H&E stain; scanned at ×20; 13 tiles cut from one stomach biopsy slide.
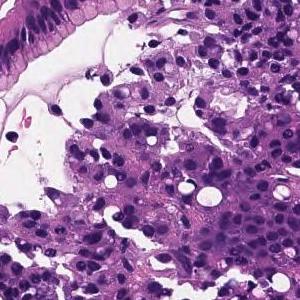
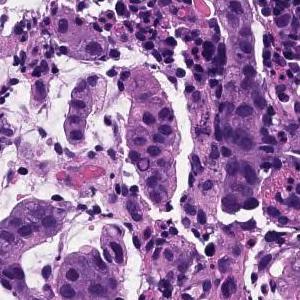
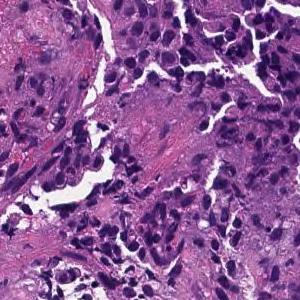
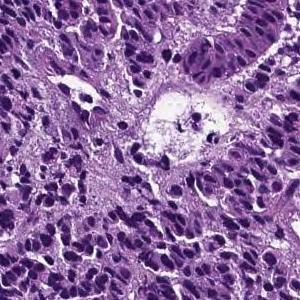
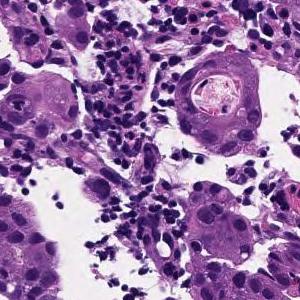
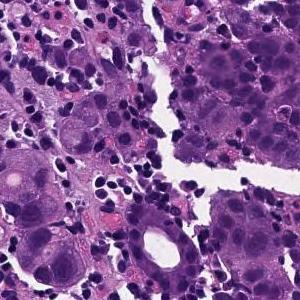
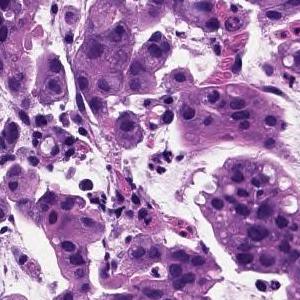
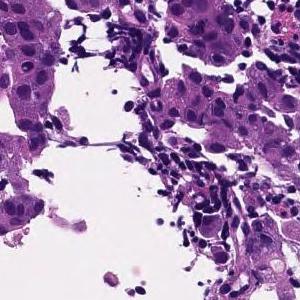
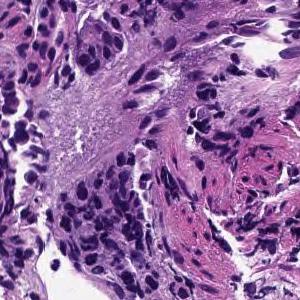
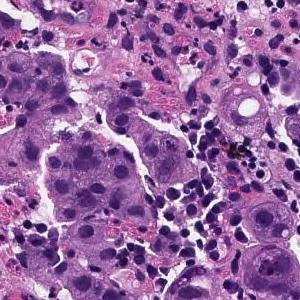
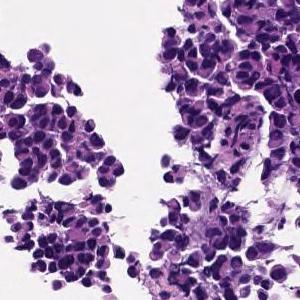
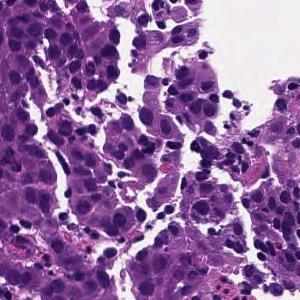
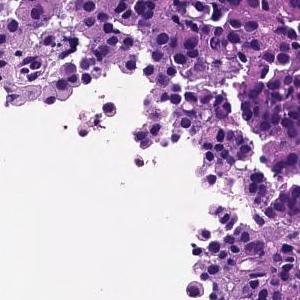
The pathologist's report on the biopsy slide these tiles were taken from. What the report and the diagnosis say applies to the whole slide; these tiles may miss some of the features named and may include tissue that is not tumor.
The superficial epithelium shows a large sheet-like shape, and some tumor tissue infiltrates with small irregular ducts. Poorly differentiated adenocarcinoma, solid-type
Histologic type: Poorly differentiated adenocarcinoma, solid type, a category of the Japanese Classification of Gastric Carcinoma; in the WHO 2019 classification it is tubular adenocarcinoma, poorly differentiated.
